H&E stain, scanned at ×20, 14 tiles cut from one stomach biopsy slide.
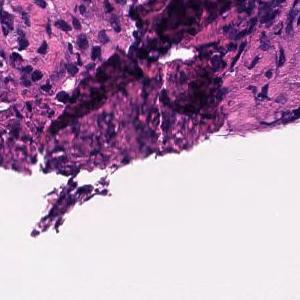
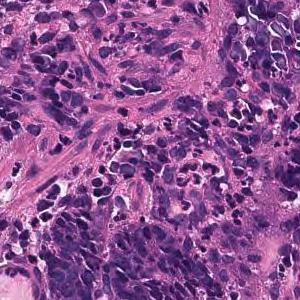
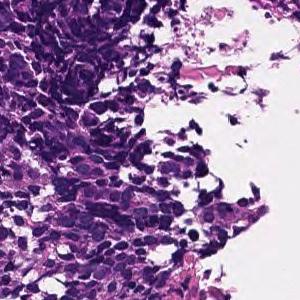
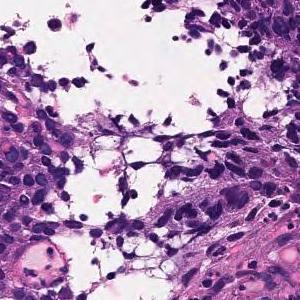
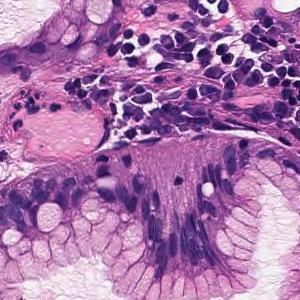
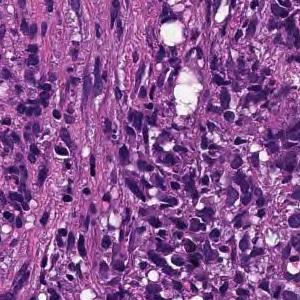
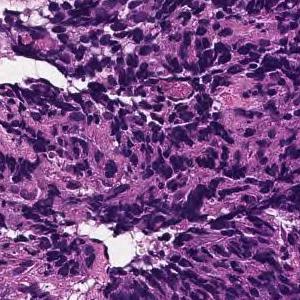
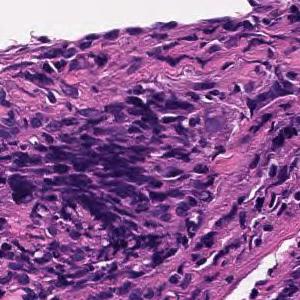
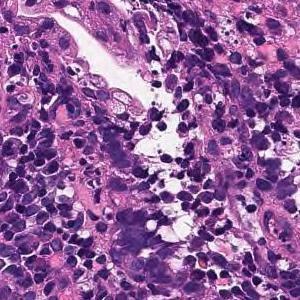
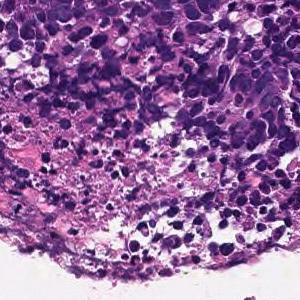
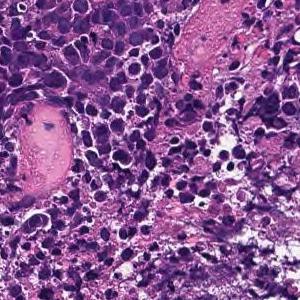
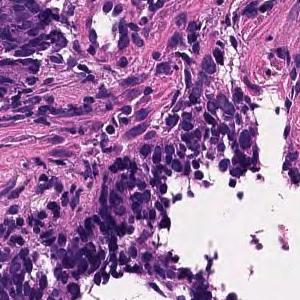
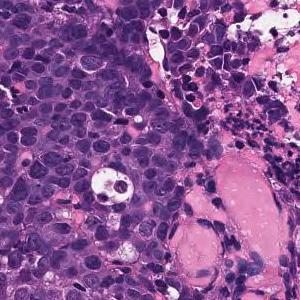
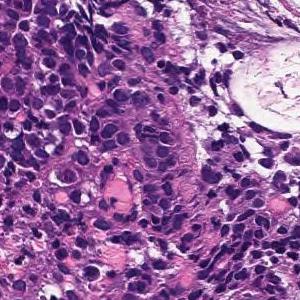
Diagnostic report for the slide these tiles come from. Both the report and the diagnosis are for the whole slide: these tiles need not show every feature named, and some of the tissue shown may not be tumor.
Large sheet-like or diffusely infiltrating tumor tissue is found in the superficial epithelium. Poorly differentiated adenocarcinoma, solid-type
Histological subtype: Poorly differentiated adenocarcinoma, solid type, a category of the Japanese Classification of Gastric Carcinoma; in the WHO 2019 classification it is tubular adenocarcinoma, poorly differentiated.
